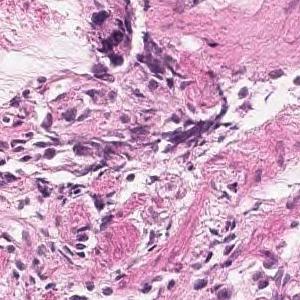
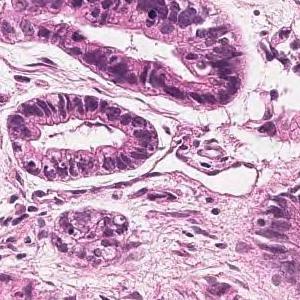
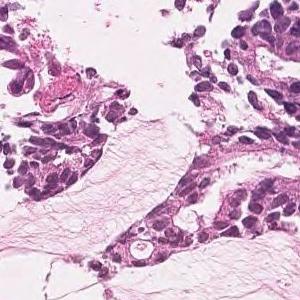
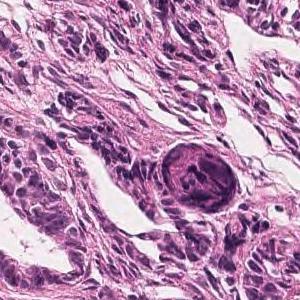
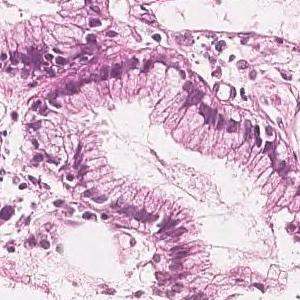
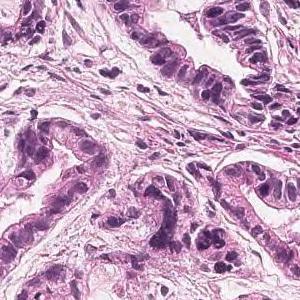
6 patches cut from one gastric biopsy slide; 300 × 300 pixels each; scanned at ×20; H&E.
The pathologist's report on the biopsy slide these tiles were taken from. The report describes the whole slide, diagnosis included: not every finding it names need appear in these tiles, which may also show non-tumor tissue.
On the superficial epithelium, tumor tissue consisting of large, irregular glandular ducts partially fused and infiltrated is observed. Well to moderately differentiated tubular adenocarcinoma (well differentiated tubular adenocarcinoma, moderately differentiated tubular adenocarcinoma)
Histological subtype: Well to moderately differentiated tubular adenocarcinoma.
